11 image tiles from a single gastric biopsy slide; ×20; H&E.
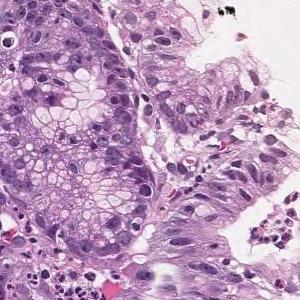
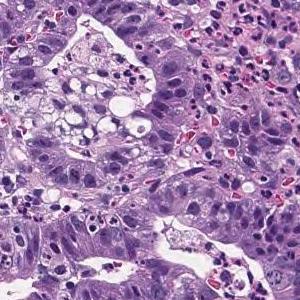
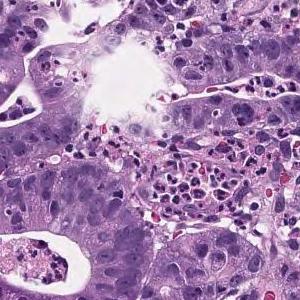
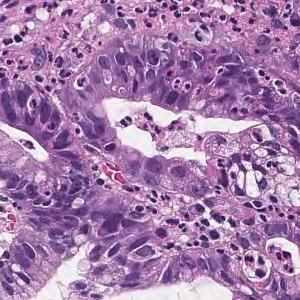
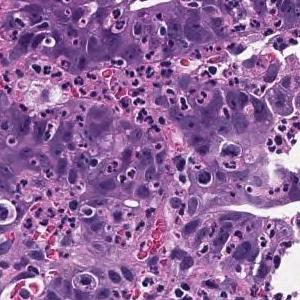
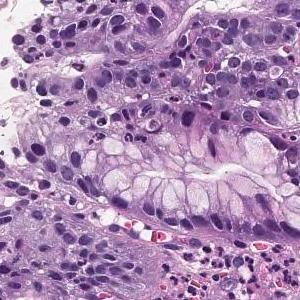
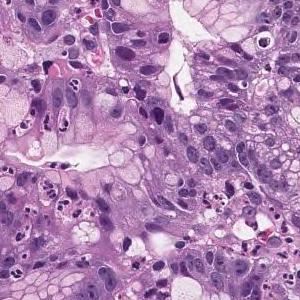
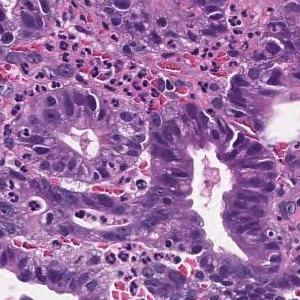
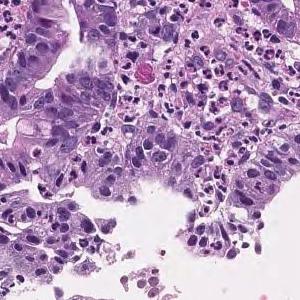
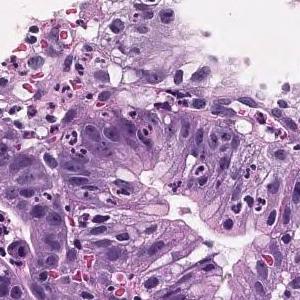
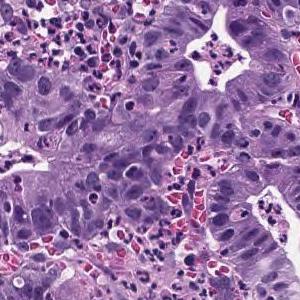
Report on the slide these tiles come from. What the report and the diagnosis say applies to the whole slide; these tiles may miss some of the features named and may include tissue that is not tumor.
In the superficial epithelium, tumor tissue that invades by forming medium-sized to small, irregular ducts is observed. Well differentiated tubular adenocarcinoma.
